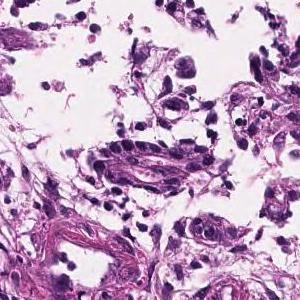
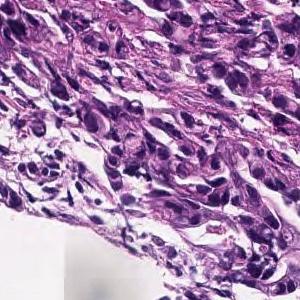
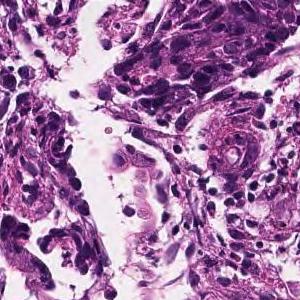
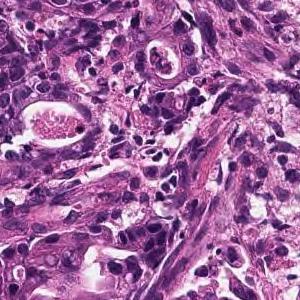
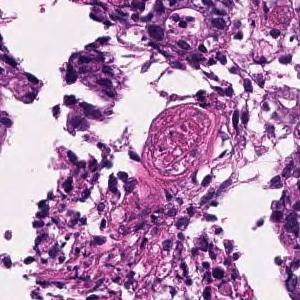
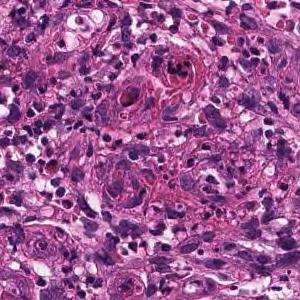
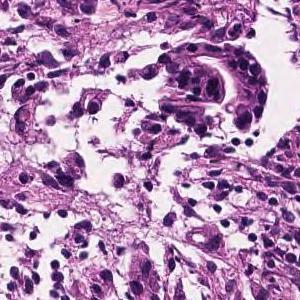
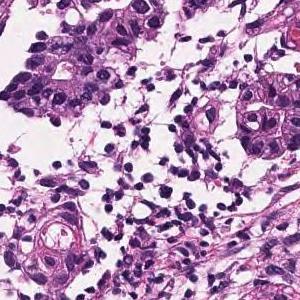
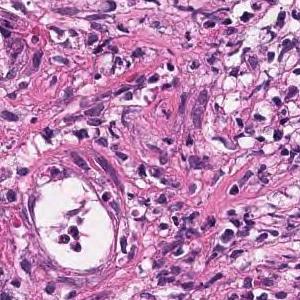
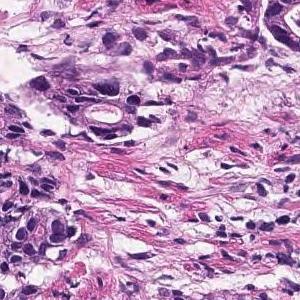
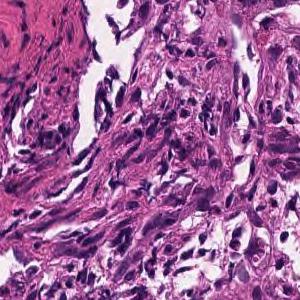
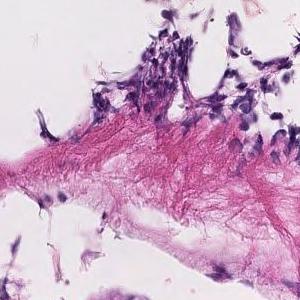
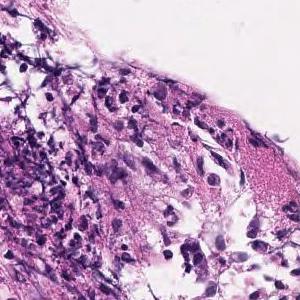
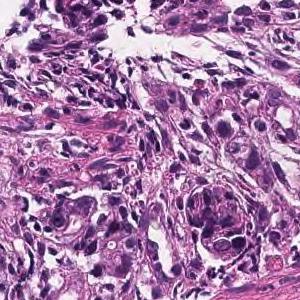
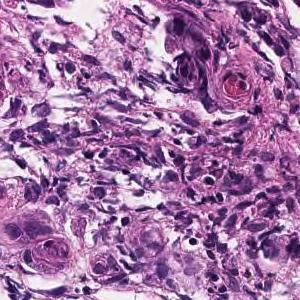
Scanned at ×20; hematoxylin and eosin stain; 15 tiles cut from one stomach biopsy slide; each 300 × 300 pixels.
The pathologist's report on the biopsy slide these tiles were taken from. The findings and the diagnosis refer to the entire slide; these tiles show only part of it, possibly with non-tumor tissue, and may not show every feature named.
In the superficial epithelium, medium to small, irregular gland ducts are formed, and in some cases, the gland ducts are fused to show solid alveolar lesions and infiltrating tumor tissue is observed. Moderately to poorly differentiated adenocarcinoma.
